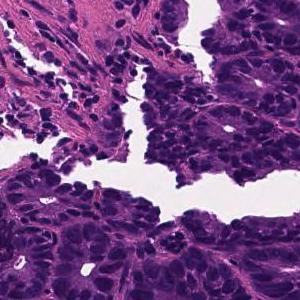
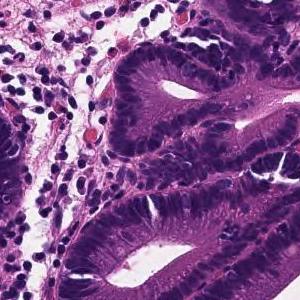
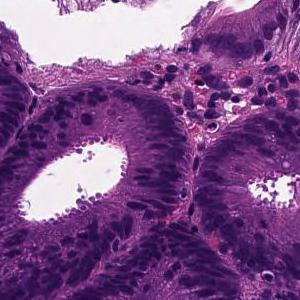
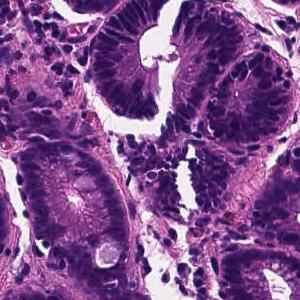
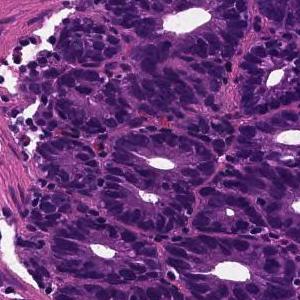
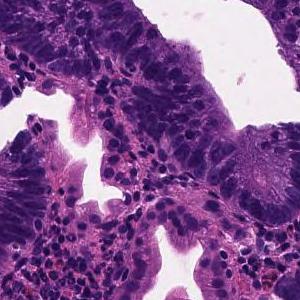
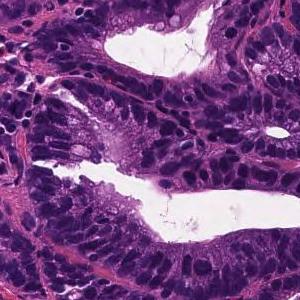
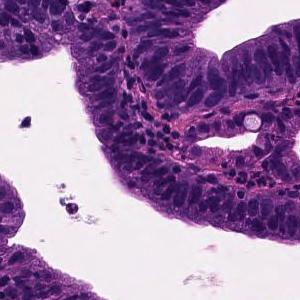
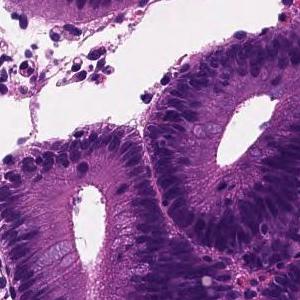
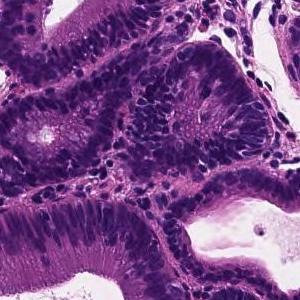
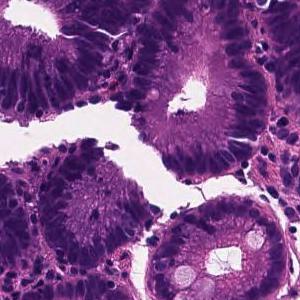
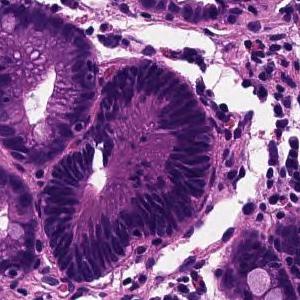
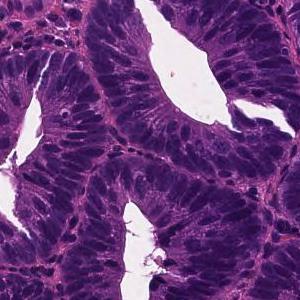
H&E stain; ×20; 13 tiles cut from one stomach biopsy slide; 300 × 300 pixels each.
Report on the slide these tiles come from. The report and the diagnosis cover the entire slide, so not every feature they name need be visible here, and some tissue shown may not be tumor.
Tumor tissue in which medium to small irregular ducts infiltrate and proliferate in the submucosa can be seen in the epithelium. Well differentiated tubular adenocarcinoma
